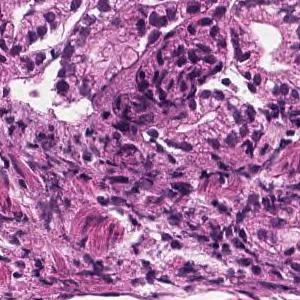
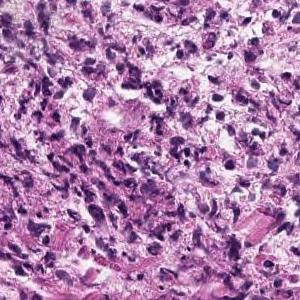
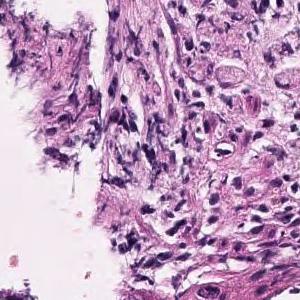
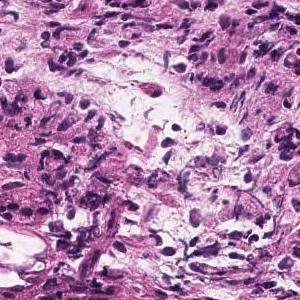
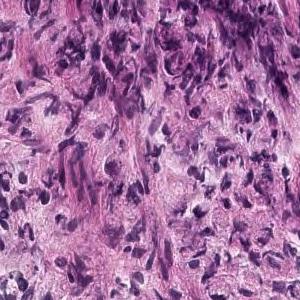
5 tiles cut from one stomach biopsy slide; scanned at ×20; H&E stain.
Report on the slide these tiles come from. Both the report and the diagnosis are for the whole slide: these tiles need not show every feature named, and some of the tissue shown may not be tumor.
In the lamina propria, a tumor tissue consisting of signet ring cell type atypical epithelial cells infiltrating is observed. Signet ring cell carcinoma.
